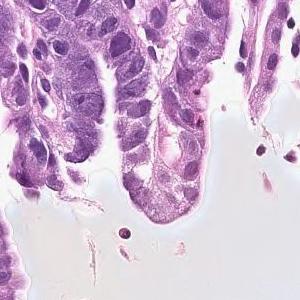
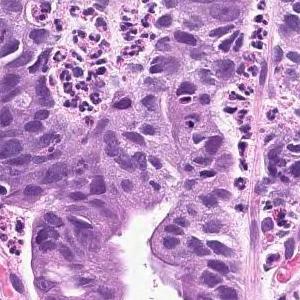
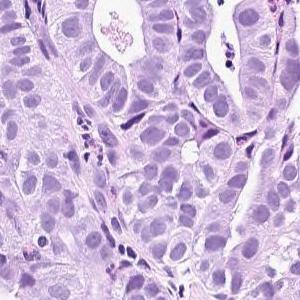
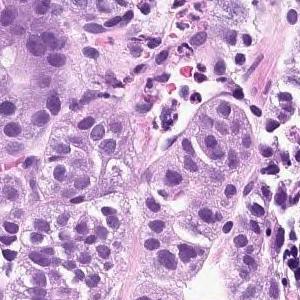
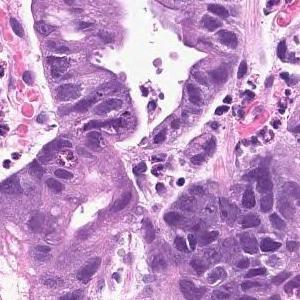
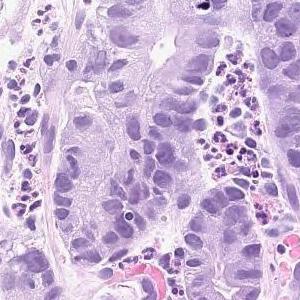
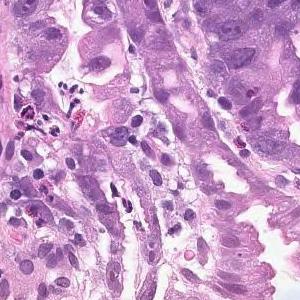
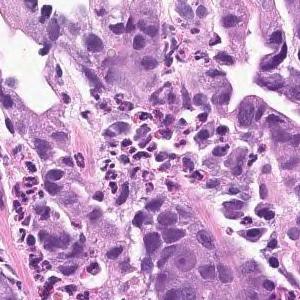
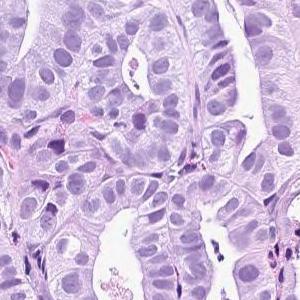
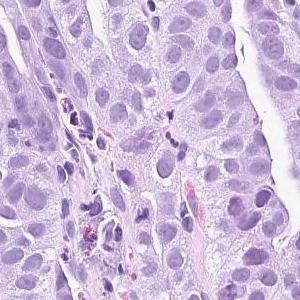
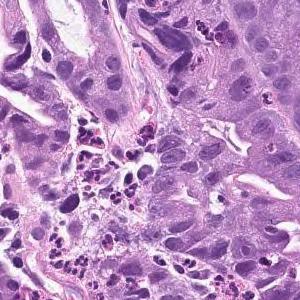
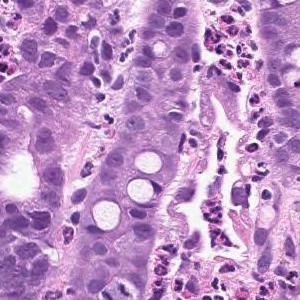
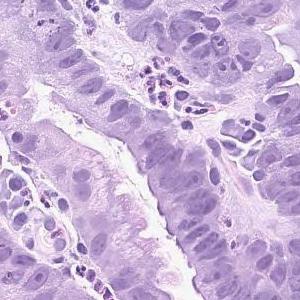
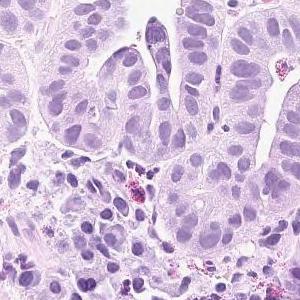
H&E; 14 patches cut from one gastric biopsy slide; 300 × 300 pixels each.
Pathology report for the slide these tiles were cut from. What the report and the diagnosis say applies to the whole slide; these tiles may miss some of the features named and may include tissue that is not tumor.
Infiltrating tumor tissue is observed in the superficial epithelium, showing large papillary structures or large and small ducts. Papillary adenocarcinoma
